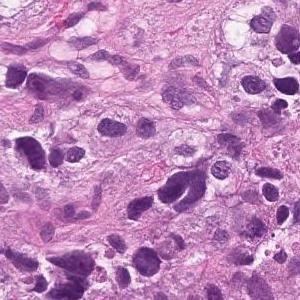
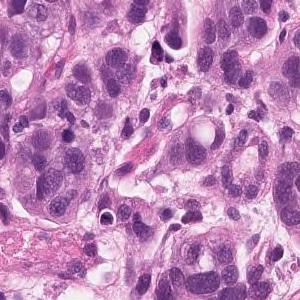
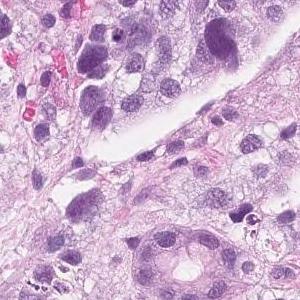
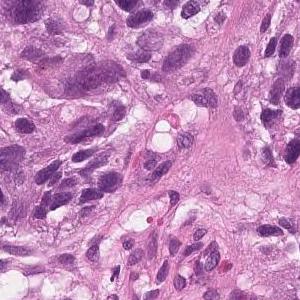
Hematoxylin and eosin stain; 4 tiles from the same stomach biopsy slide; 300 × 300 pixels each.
Pathology report for the slide these tiles were cut from. The findings and the diagnosis refer to the entire slide; these tiles show only part of it, possibly with non-tumor tissue, and may not show every feature named.
Tumor tissue that infiltrates the epithelium in an alveolar manner. Poorly differentiated adenocarcinoma, solid-type
Classified as poorly differentiated adenocarcinoma, solid type, a category of the Japanese Classification of Gastric Carcinoma; in the WHO 2019 classification it is tubular adenocarcinoma, poorly differentiated.
